Hematoxylin and eosin stain, 4 patches cut from one gastric biopsy slide, each 300 × 300 pixels.
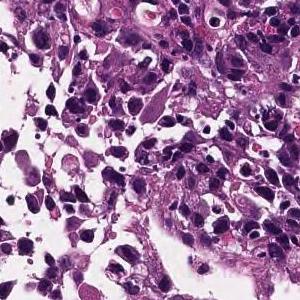
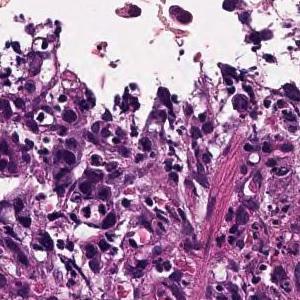
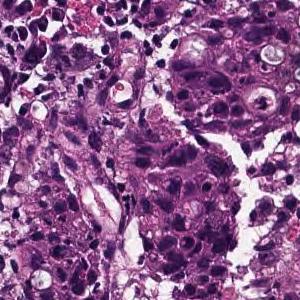
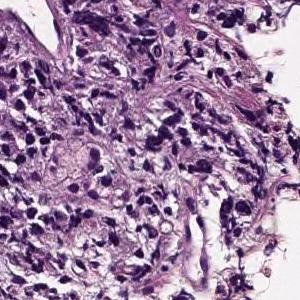
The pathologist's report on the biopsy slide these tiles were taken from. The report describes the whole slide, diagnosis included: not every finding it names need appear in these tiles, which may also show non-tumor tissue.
The superficial epithelium shows a large sheet-like shape, and some tumor tissue infiltrates with small irregular ducts. Poorly differentiated adenocarcinoma, solid-type
Subtype: Poorly differentiated adenocarcinoma, solid type, a category of the Japanese Classification of Gastric Carcinoma; in the WHO 2019 classification it is tubular adenocarcinoma, poorly differentiated.
